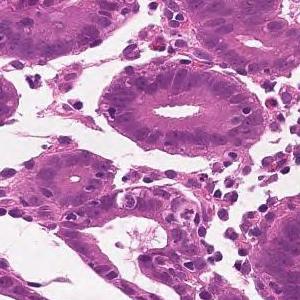
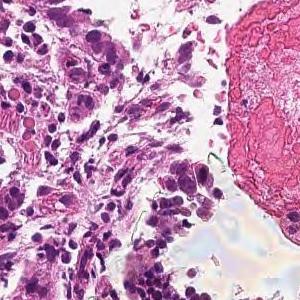
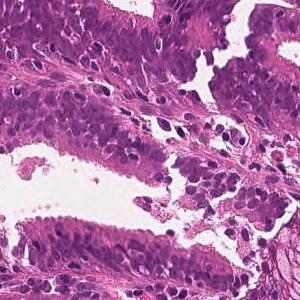
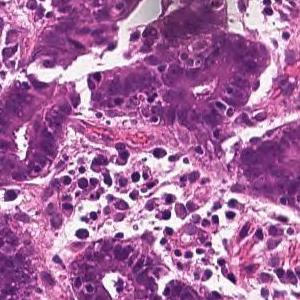
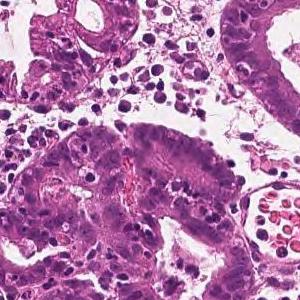
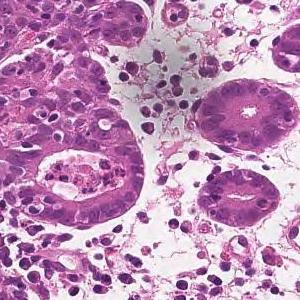
Scanned at ×20 · H&E · 6 patches cut from one gastric biopsy slide.
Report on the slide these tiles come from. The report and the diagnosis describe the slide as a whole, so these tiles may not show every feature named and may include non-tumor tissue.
On the superficial epithelium, tumor tissue is found in which medium-sized irregular gland ducts fuse with each other and infiltrate. moderately differentiated tubular adenocarcinoma
